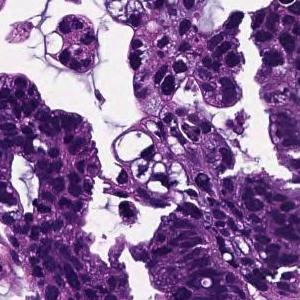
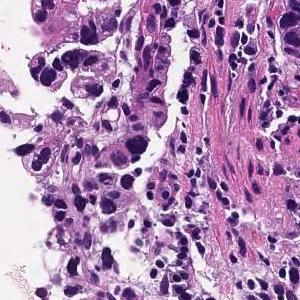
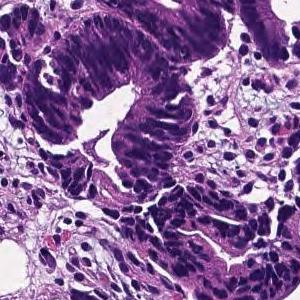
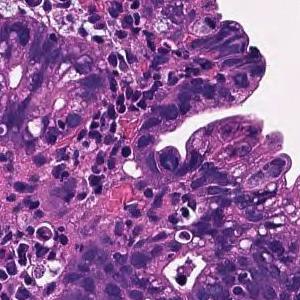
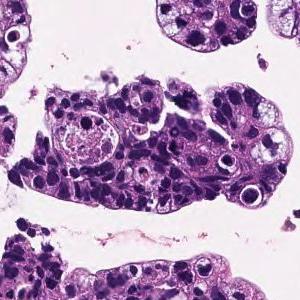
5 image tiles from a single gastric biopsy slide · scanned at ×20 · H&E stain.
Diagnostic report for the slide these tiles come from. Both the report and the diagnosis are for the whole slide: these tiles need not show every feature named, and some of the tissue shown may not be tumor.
In the superficial epithelium, tumor tissue that invades by forming medium-sized to small, irregular ducts is observed. moderately differentiated tubular adenocarcinoma.
